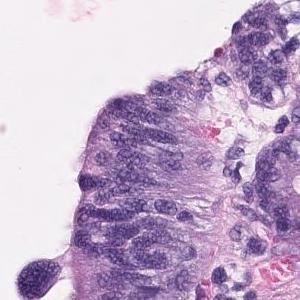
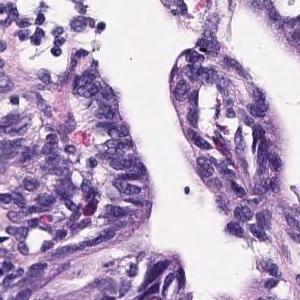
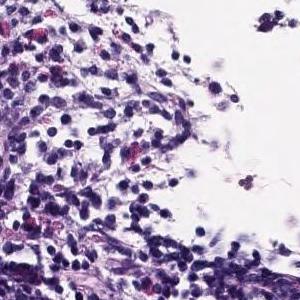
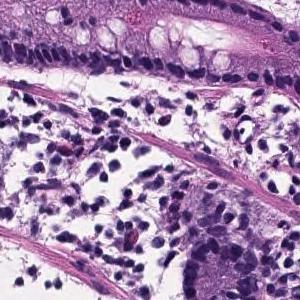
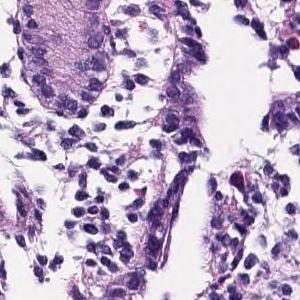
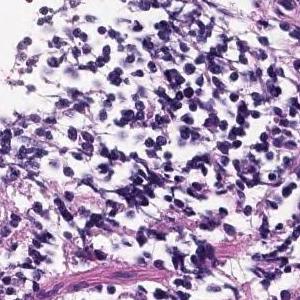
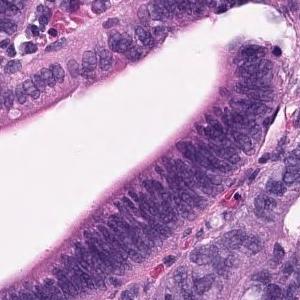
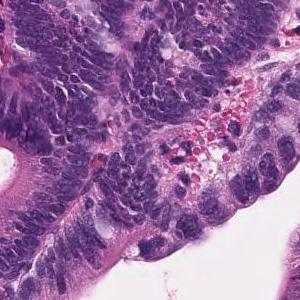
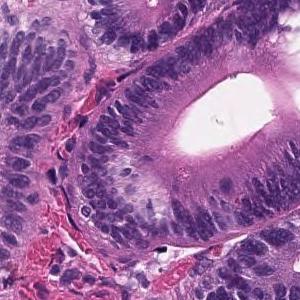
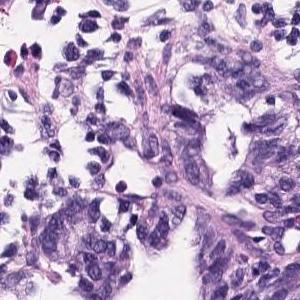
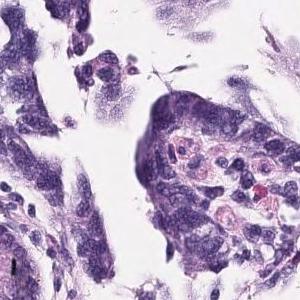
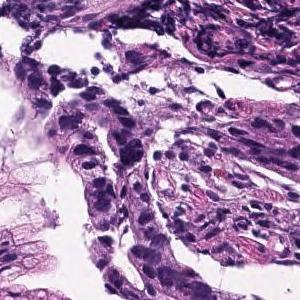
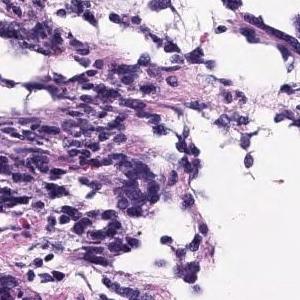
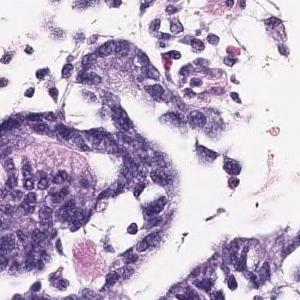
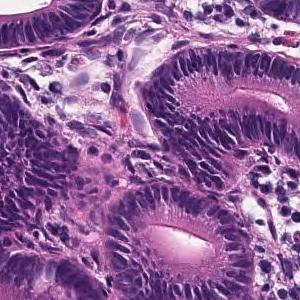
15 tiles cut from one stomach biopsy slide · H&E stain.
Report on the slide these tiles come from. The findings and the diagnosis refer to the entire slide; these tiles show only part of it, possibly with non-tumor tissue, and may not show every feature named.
Tumor cells are large, highly columnar, large club-shaped nuclei, and are associated with chromatin aggregation. Papillary adenocarcinoma.
